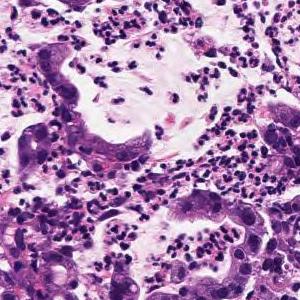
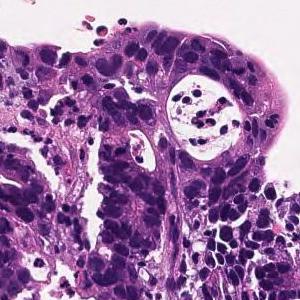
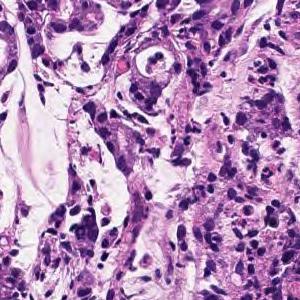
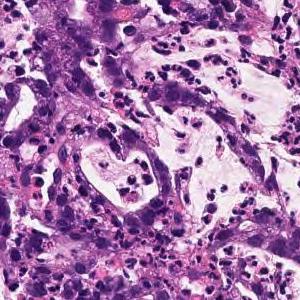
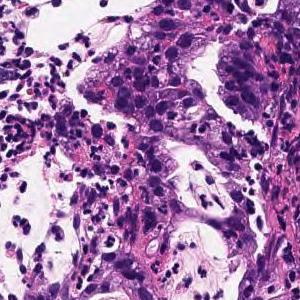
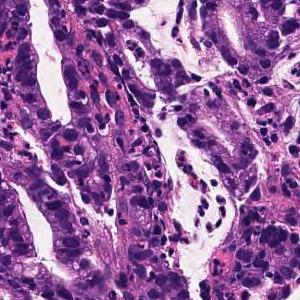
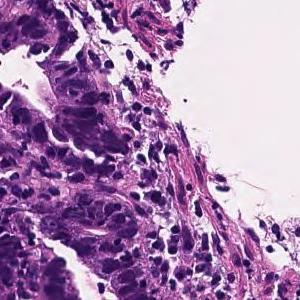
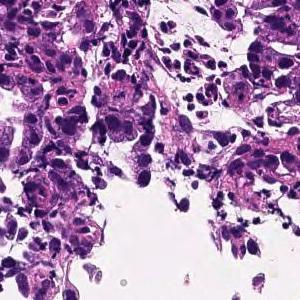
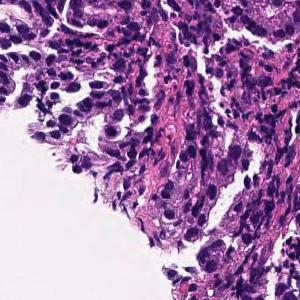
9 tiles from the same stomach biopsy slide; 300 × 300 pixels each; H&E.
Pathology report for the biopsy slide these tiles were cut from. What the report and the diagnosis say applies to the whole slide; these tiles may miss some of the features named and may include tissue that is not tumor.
On the superficial epithelium, tumor tissue consisting of large, irregular glandular ducts partially fused and infiltrated is observed. Well to moderately differentiated tubular adenocarcinoma (well differentiated tubular adenocarcinoma, moderately differentiated tubular adenocarcinoma)
Tumor subtype: well to moderately differentiated tubular adenocarcinoma.
